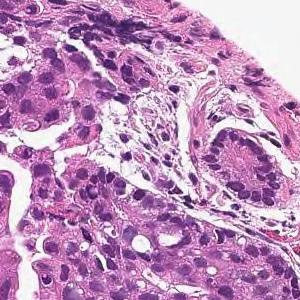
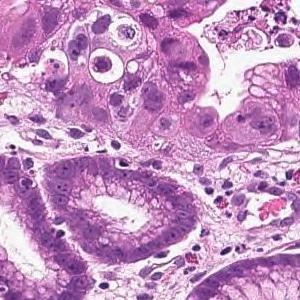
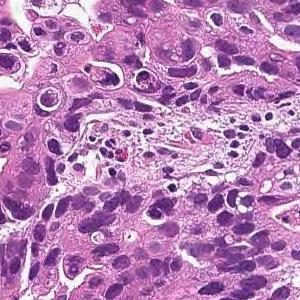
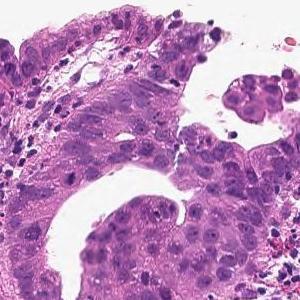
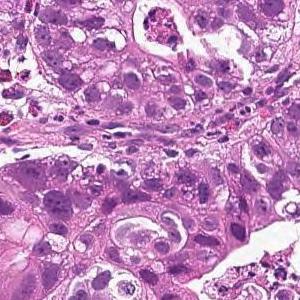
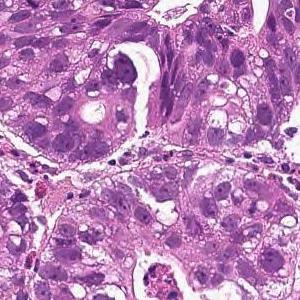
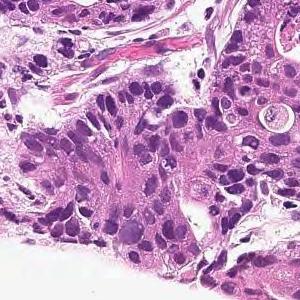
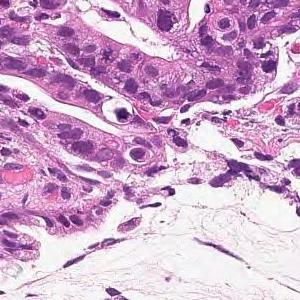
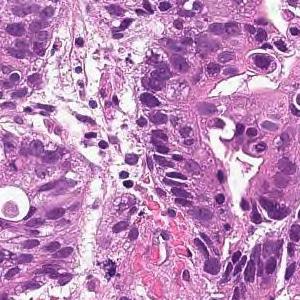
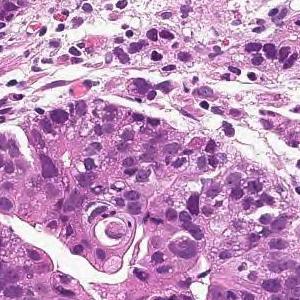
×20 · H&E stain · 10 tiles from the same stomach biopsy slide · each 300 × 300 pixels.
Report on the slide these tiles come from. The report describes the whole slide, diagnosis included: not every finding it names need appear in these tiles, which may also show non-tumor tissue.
On the superficial epithelium, tumor tissue that infiltrates by forming medium-sized papillary or small irregular ducts is observed. Papillary adenocarcinoma
